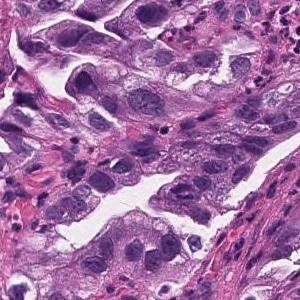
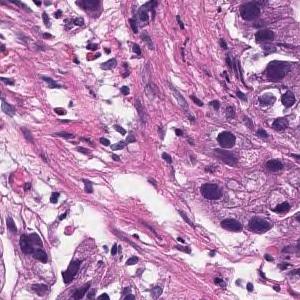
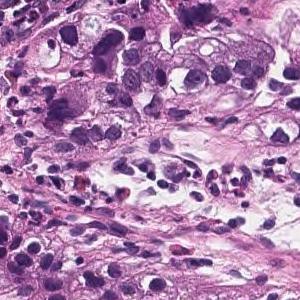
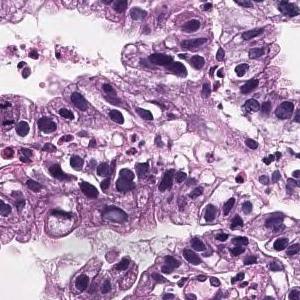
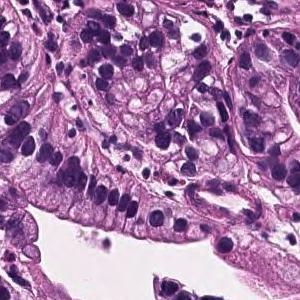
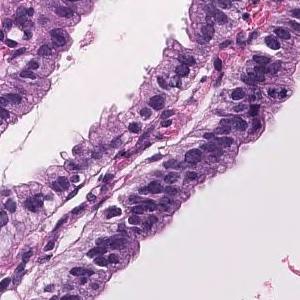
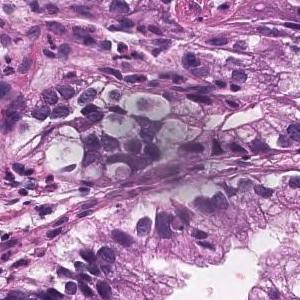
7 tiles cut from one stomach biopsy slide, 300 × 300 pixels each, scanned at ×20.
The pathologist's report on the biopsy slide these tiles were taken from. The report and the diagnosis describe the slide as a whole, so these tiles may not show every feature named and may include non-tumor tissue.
Tumor cells are large, highly columnar, large club-shaped nuclei, and are associated with chromatin aggregation. Papillary adenocarcinoma.
